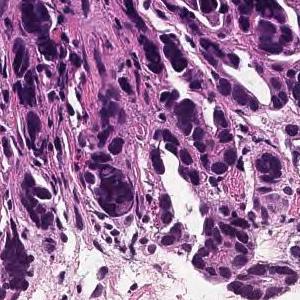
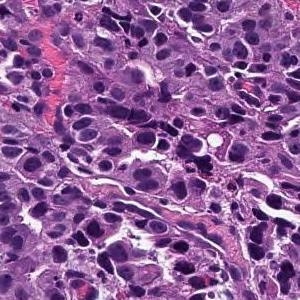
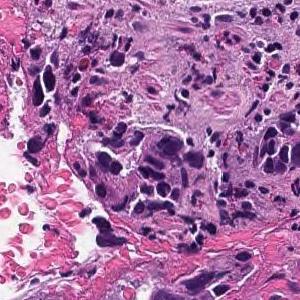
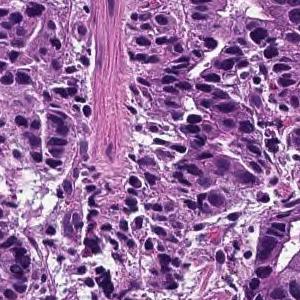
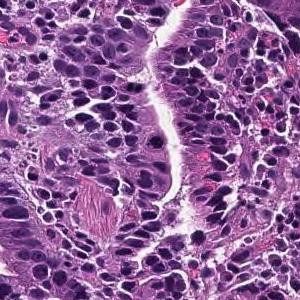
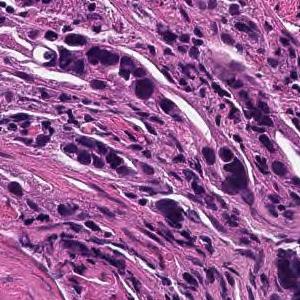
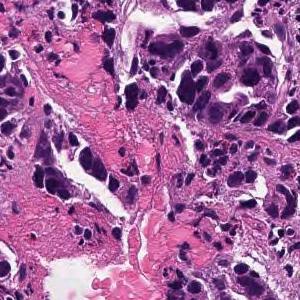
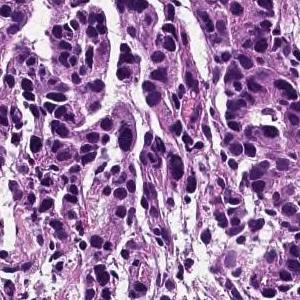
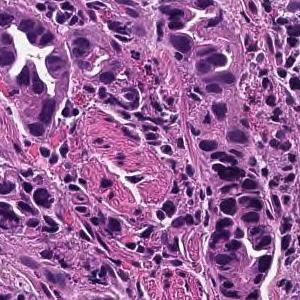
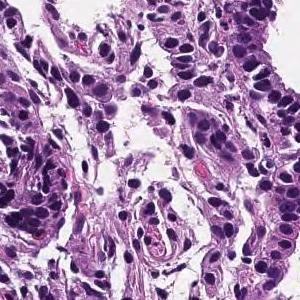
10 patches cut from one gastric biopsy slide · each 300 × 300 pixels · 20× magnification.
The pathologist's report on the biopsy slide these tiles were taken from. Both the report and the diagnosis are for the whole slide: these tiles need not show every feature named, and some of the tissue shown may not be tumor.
In the superficial epithelium, tumor tissue that invades by forming medium-sized to small, irregular ducts is observed. moderately differentiated tubular adenocarcinoma.
